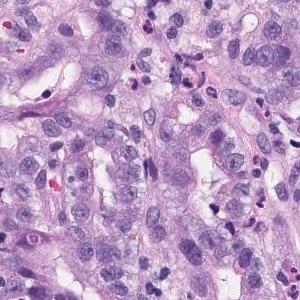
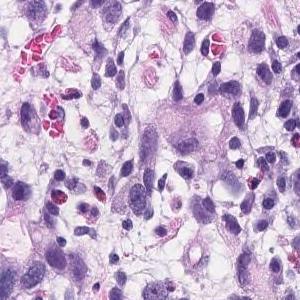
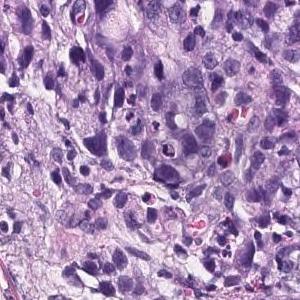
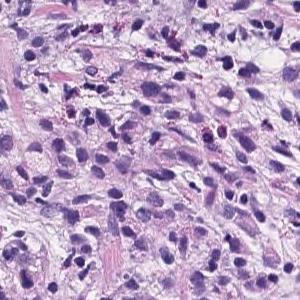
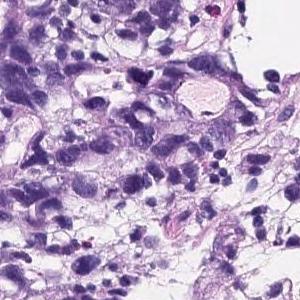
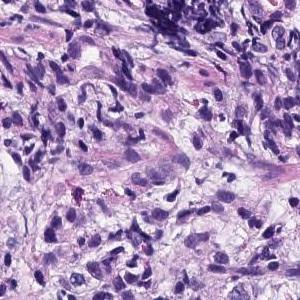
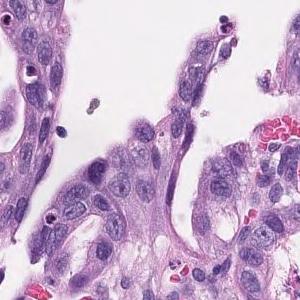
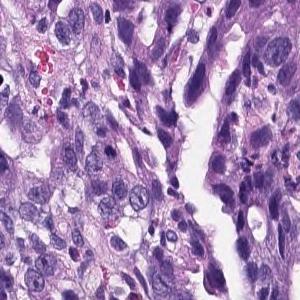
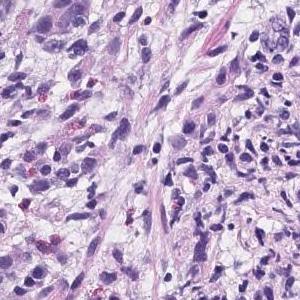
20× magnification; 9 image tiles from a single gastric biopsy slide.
Pathology report for the slide these tiles were cut from. The report describes the whole slide, diagnosis included: not every finding it names need appear in these tiles, which may also show non-tumor tissue.
There are atypical l cells with atypical nuclei forming cord-like or irregular atypical ducts from solidity and proliferating in a comprehensive manner. Poorly differentiated adenocarcinoma, Moderately differentiated adenocarcinoma (poorly differentiated adenocarcinoma, solid type moderately differentiated tubular adenocarcinoma)
Histological subtype: Moderately to poorly differentiated adenocarcinoma.
The solid type named here is a Japanese Classification of Gastric Carcinoma category; WHO 2019 calls it tubular adenocarcinoma, poorly differentiated.
